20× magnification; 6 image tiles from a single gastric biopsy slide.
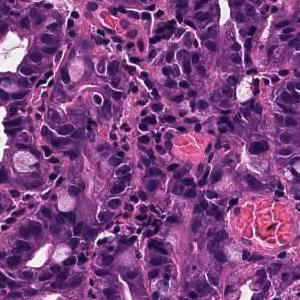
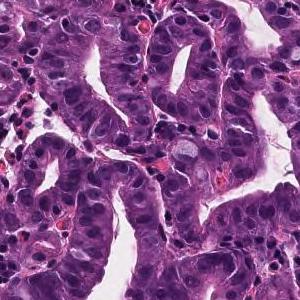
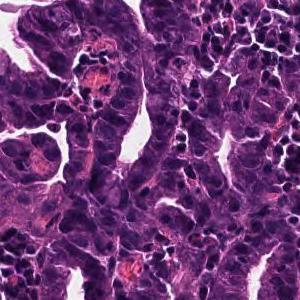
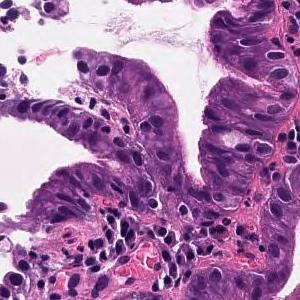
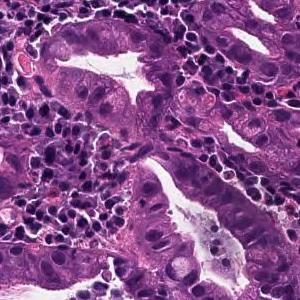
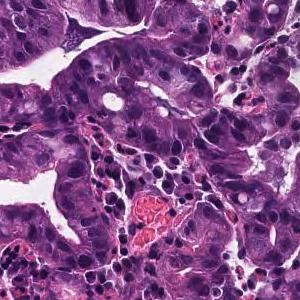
The pathologist's report on the biopsy slide these tiles were taken from. The report describes the whole slide, diagnosis included: not every finding it names need appear in these tiles, which may also show non-tumor tissue.
Atypical tubular proliferation of well to moderately differentiated gastric gland with hyperchromatic nuclei and high N:C ratio. Mitotic figures were also present. These histological findings were suggestive of well to moderately differentiated tubular adenocarcinoma (well differentiated tubular adenocarcinoma, moderately differentiated tubular adenocarcinoma).
Dataset label: well differentiated tubular adenocarcinoma.
